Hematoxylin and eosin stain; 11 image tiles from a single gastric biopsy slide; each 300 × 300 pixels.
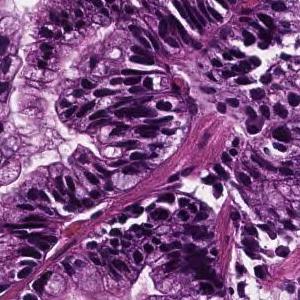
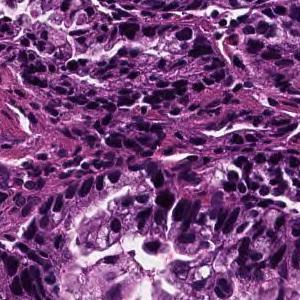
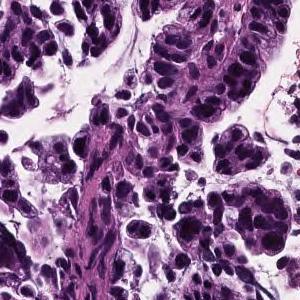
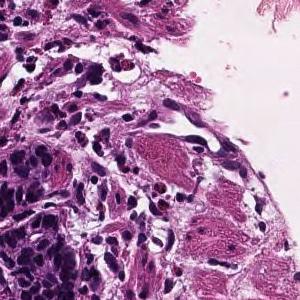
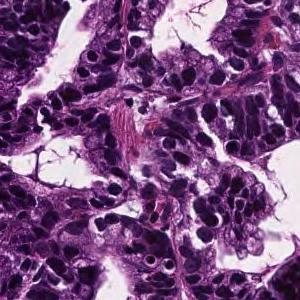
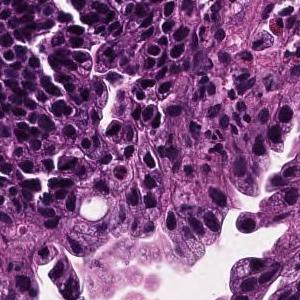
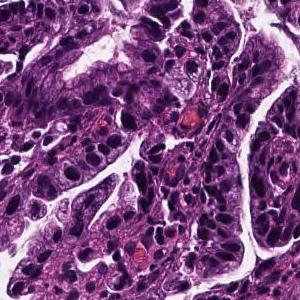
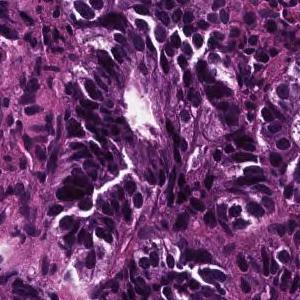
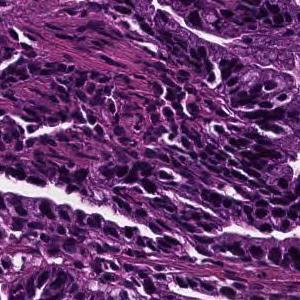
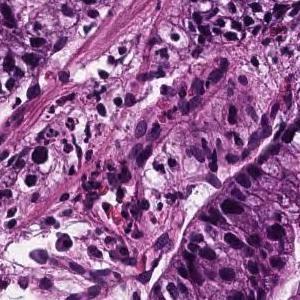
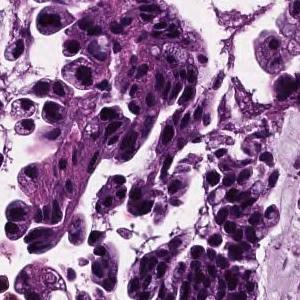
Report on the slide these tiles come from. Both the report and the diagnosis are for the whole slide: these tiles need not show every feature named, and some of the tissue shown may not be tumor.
In the superficial epithelium, tumor tissue that invades by forming medium-sized to small, irregular ducts is observed. Well differentiated tubular adenocarcinoma.
